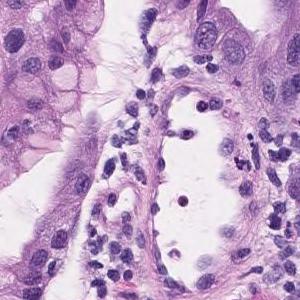
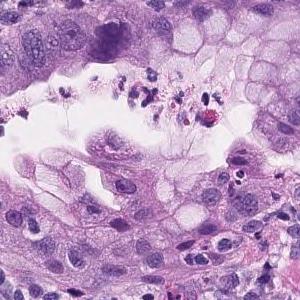
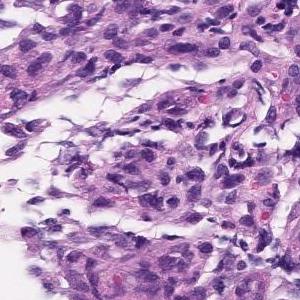
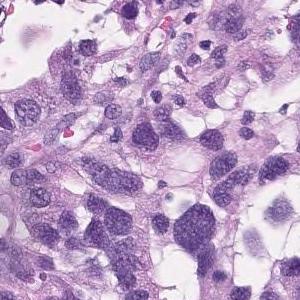
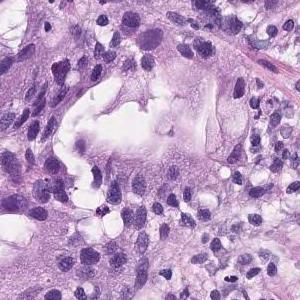
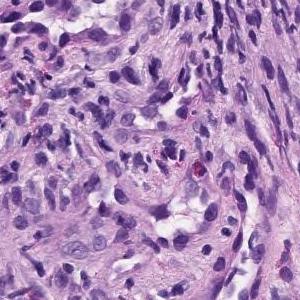
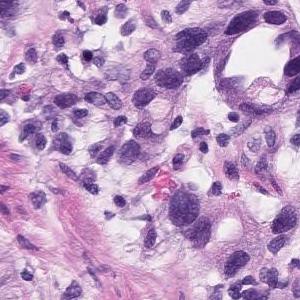
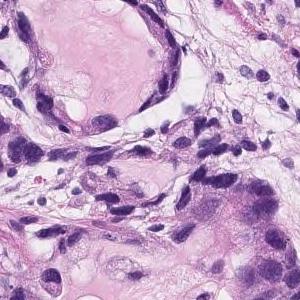
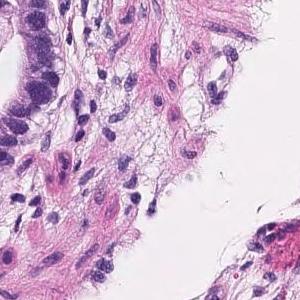
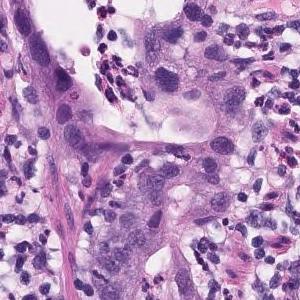
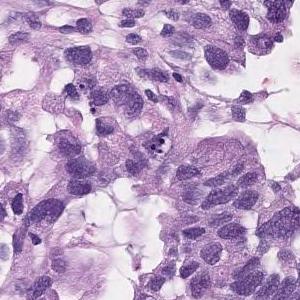
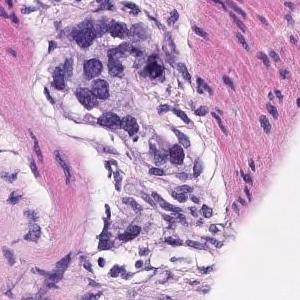
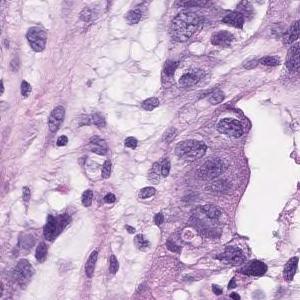
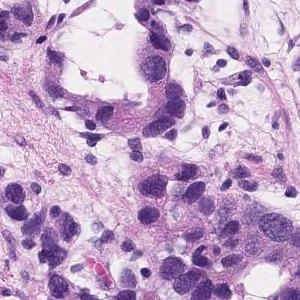
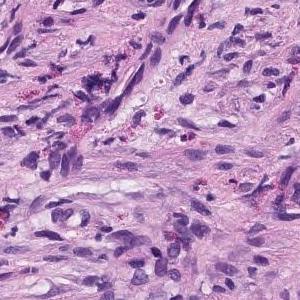
15 tiles cut from one stomach biopsy slide, 300 × 300 pixels each, H&E stain.
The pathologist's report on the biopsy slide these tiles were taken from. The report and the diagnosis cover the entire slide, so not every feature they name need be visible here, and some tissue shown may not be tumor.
Group 5, Adenocarcinoma. Moderately to poorly differentiated adenocarcinoma
